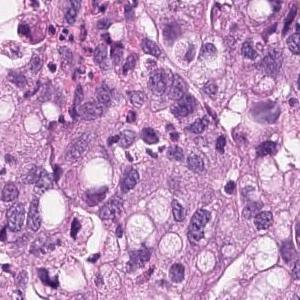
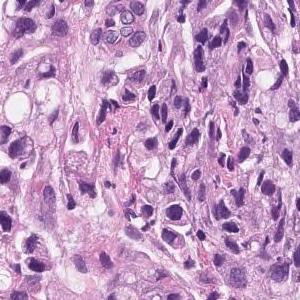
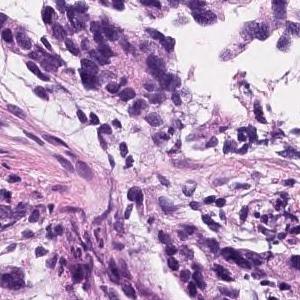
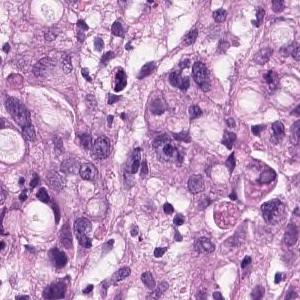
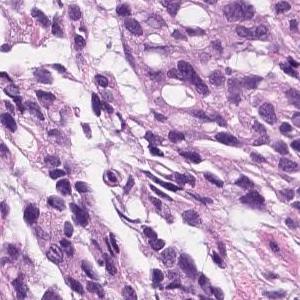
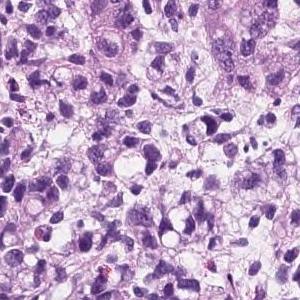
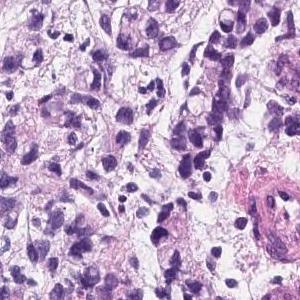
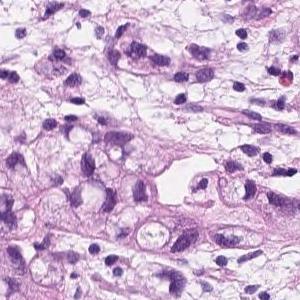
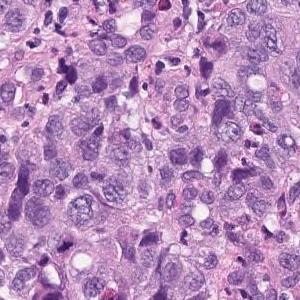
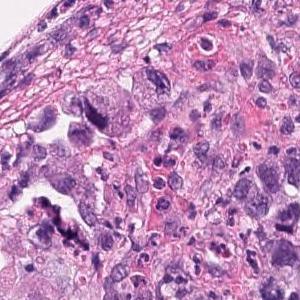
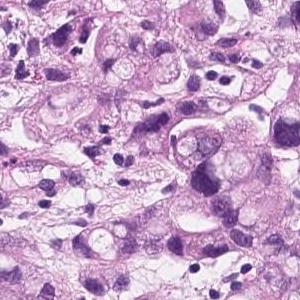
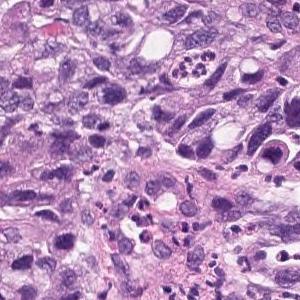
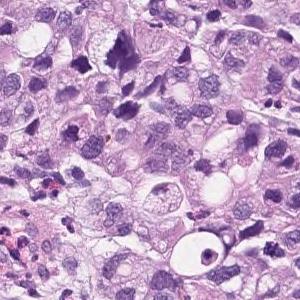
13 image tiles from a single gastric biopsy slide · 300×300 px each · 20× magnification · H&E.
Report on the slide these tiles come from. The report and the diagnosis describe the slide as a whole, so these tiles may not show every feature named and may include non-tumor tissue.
Group 5, Adenocarcinoma. Poorly differentiated adenocarcinoma, non-solid type
"Non-solid type" is a category of the Japanese Classification of Gastric Carcinoma.
